H&E stain, 20× magnification, 6 tiles cut from one stomach biopsy slide, 300×300 px each.
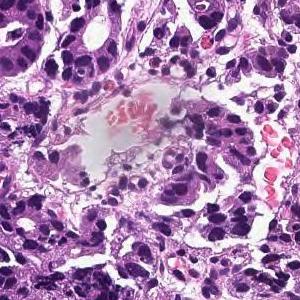
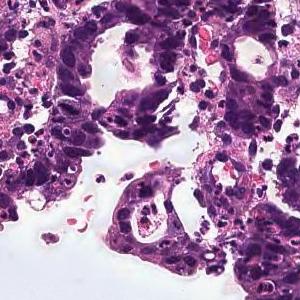
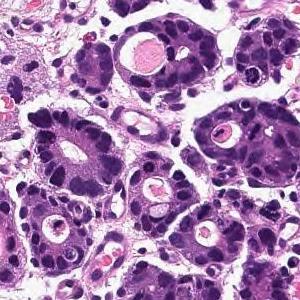
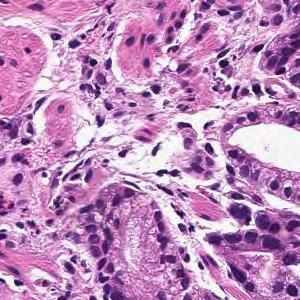
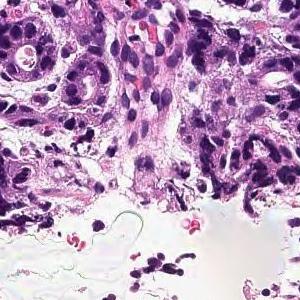
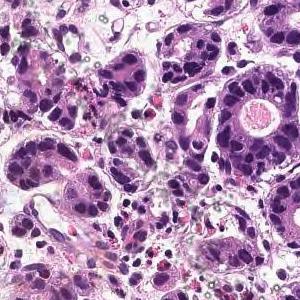
Report on the slide these tiles come from. The report and the diagnosis describe the slide as a whole, so these tiles may not show every feature named and may include non-tumor tissue.
In the superficial epithelium, tumor tissue that invades by forming medium-sized to small, irregular ducts is observed. moderately differentiated tubular adenocarcinoma.
